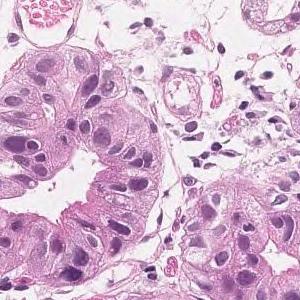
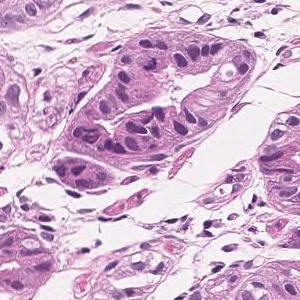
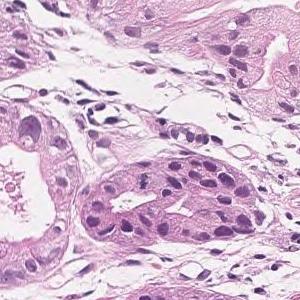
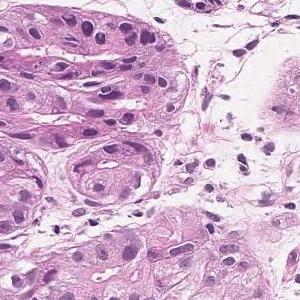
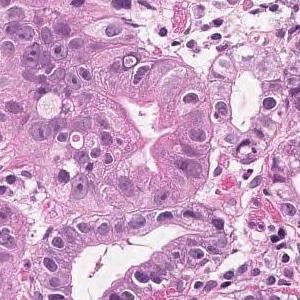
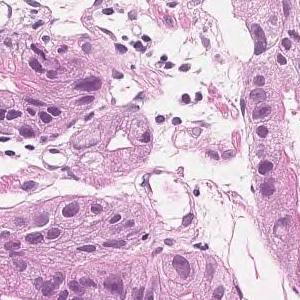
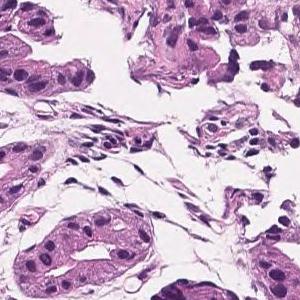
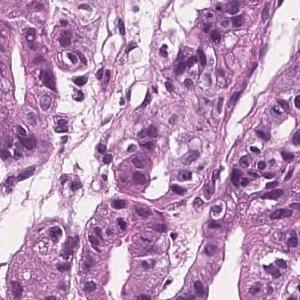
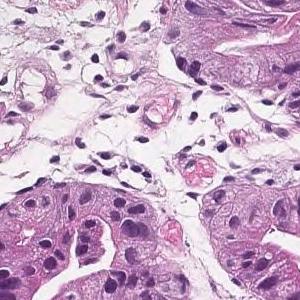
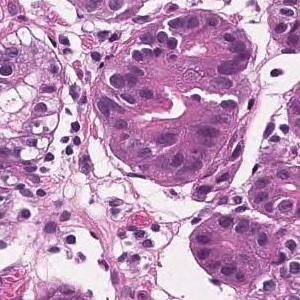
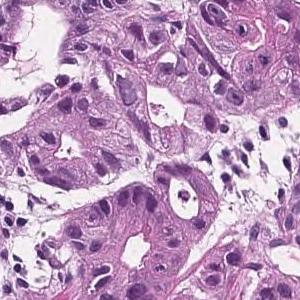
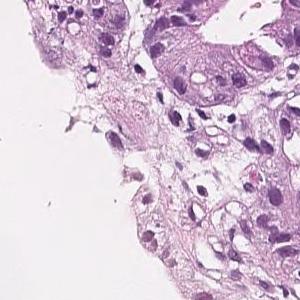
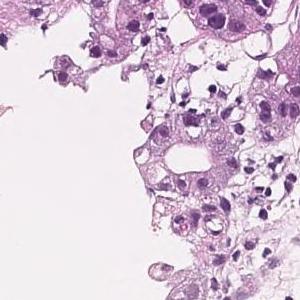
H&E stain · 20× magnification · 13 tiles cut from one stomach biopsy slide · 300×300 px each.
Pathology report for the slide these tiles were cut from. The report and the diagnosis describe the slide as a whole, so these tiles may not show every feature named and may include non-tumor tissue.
On the superficial epithelium, tumor tissue consisting of medium-sized and irregular gland ducts infiltrated is observed. Well differentiated tubular adenocarcinoma
